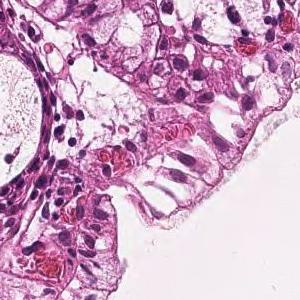
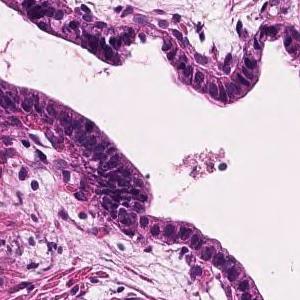
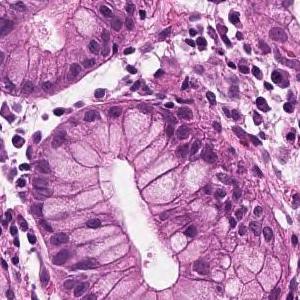
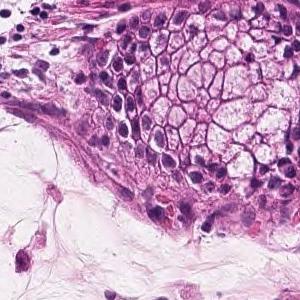
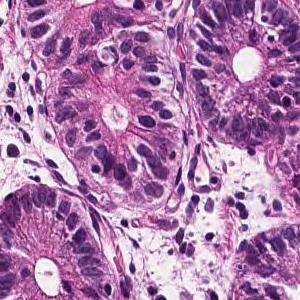
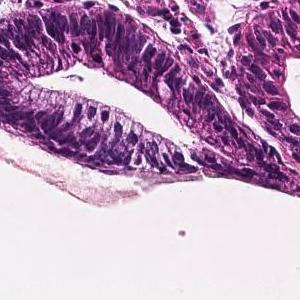
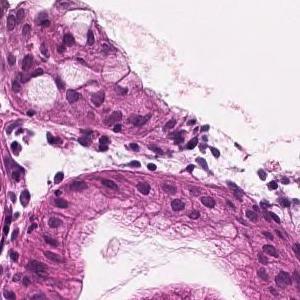
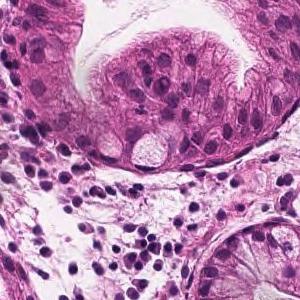
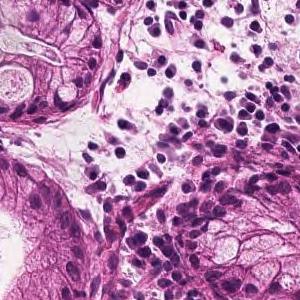
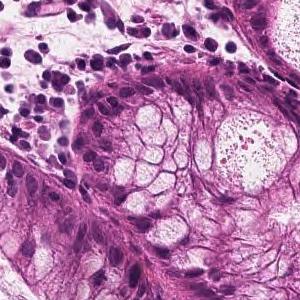
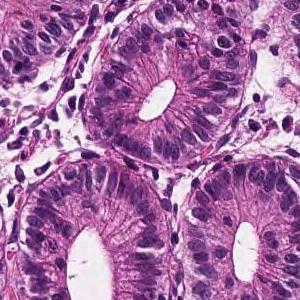
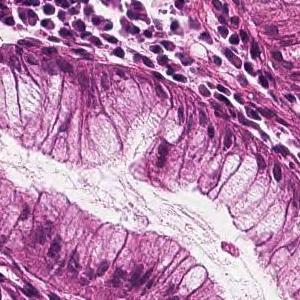
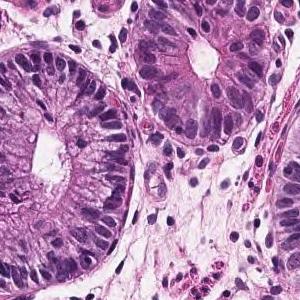
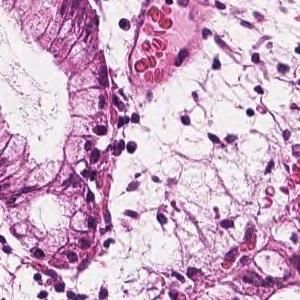
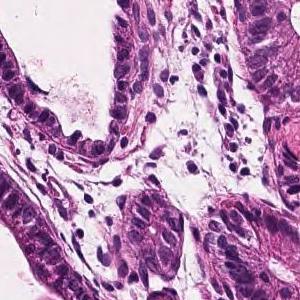
Scanned at ×20, hematoxylin and eosin stain, 15 tiles from the same stomach biopsy slide.
Pathology report for the biopsy slide these tiles were cut from. The report and the diagnosis describe the slide as a whole, so these tiles may not show every feature named and may include non-tumor tissue.
In the superficial epithelium, tumor tissue that invades by forming medium-sized to small, irregular ducts is observed. Well differentiated tubular adenocarcinoma.
